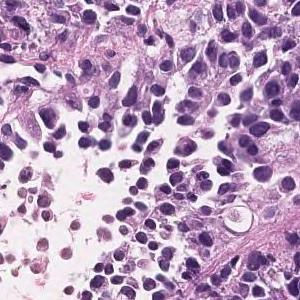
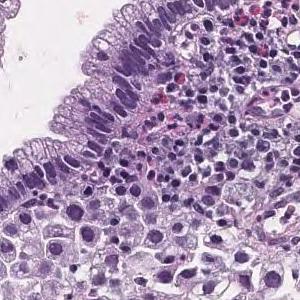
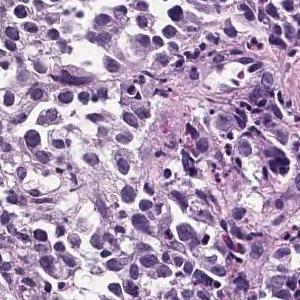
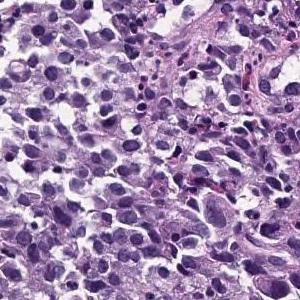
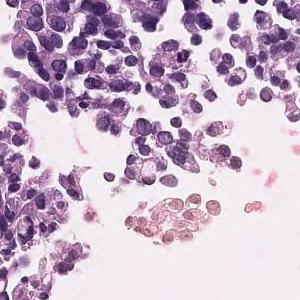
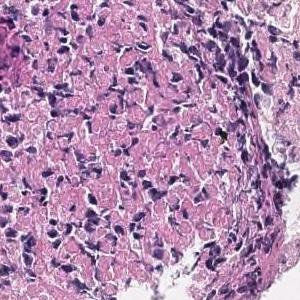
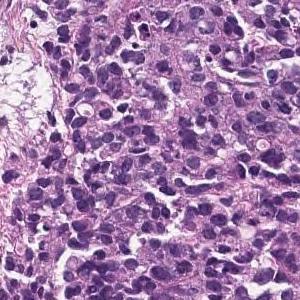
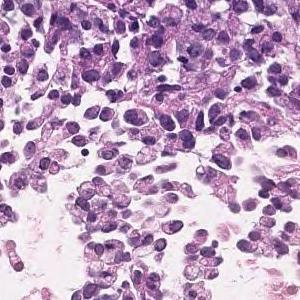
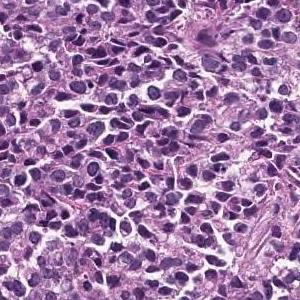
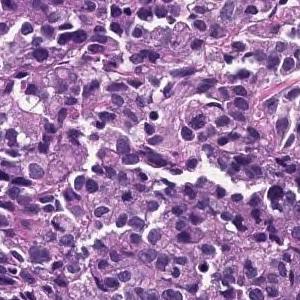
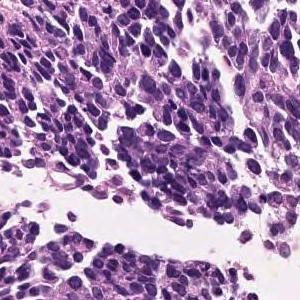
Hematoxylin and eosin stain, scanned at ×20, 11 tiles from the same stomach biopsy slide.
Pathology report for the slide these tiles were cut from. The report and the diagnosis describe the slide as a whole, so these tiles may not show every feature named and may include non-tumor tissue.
The superficial epithelium shows a large sheet-like shape, and some tumor tissue infiltrates with small irregular ducts. Poorly differentiated adenocarcinoma, solid-type
Tumor subtype: poorly differentiated adenocarcinoma, solid type (Japanese Classification of Gastric Carcinoma). The WHO 2019 equivalent is tubular adenocarcinoma, poorly differentiated.
